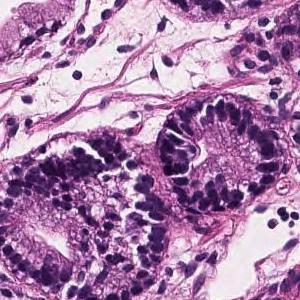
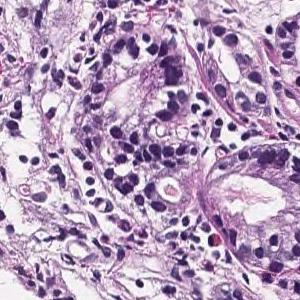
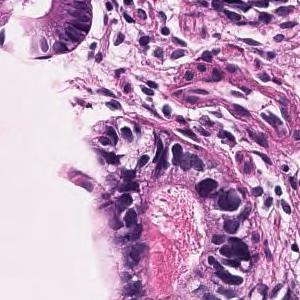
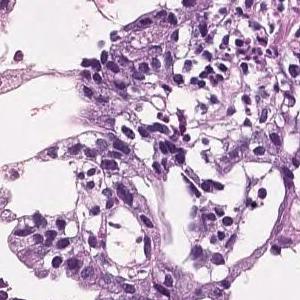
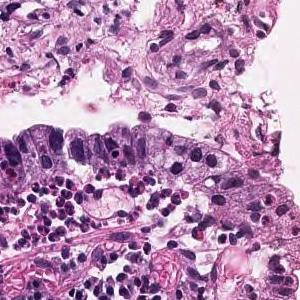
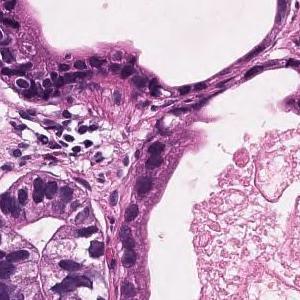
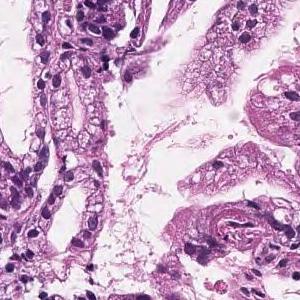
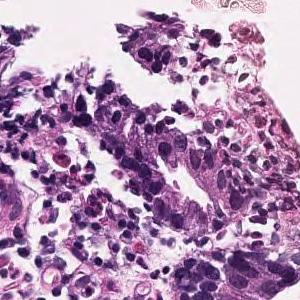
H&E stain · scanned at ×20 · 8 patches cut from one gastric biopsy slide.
Pathology report for the biopsy slide these tiles were cut from. The report and the diagnosis describe the slide as a whole, so these tiles may not show every feature named and may include non-tumor tissue.
Tumor tissue consisting of medium-sized and irregular ducts is observed infiltrating in the superficial epithelium. Tumor cells are highly columnar, with nuclei aligned basolaterally and polarized. Well differentiated tubular adenocarcinoma.
